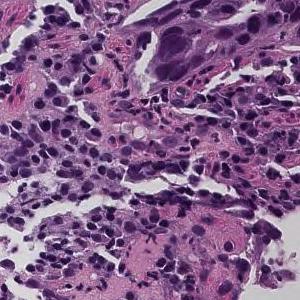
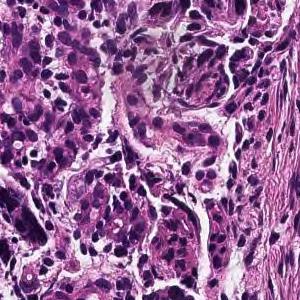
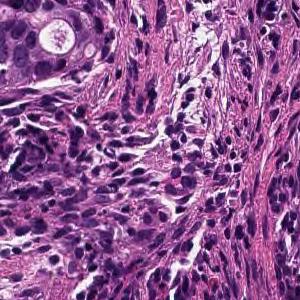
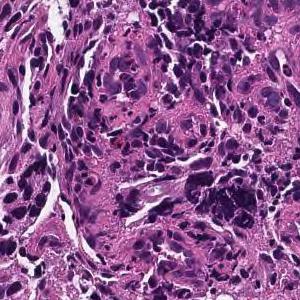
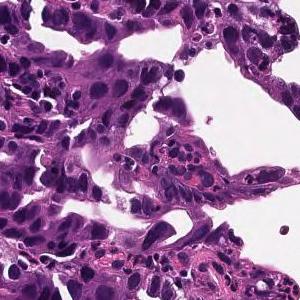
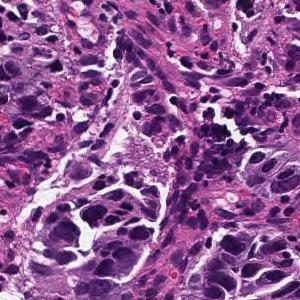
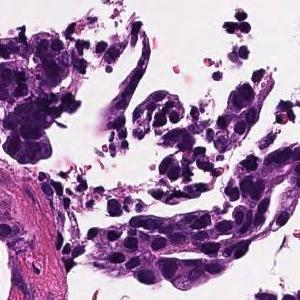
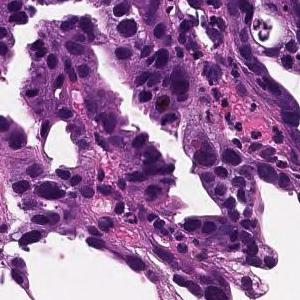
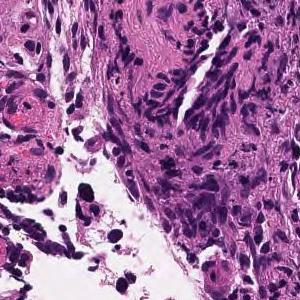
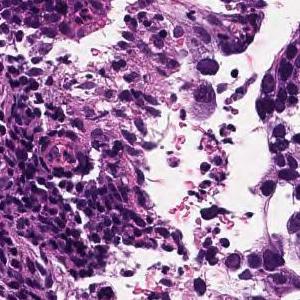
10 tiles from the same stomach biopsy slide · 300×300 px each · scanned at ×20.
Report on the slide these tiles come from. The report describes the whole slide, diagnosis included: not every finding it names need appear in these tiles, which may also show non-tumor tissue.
On the superficial epithelium, tumor tissue consisting of large irregular glandular ducts partially fused and infiltrated is observed. Well to moderately differentiated tubular adenocarcinoma (well differentiated tubular adenocarcinoma, moderately differentiated tubular adenocarcinoma)
Histologic type: Well to moderately differentiated tubular adenocarcinoma.
